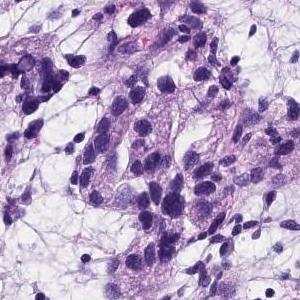
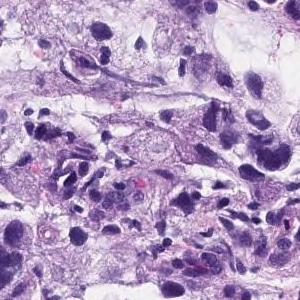
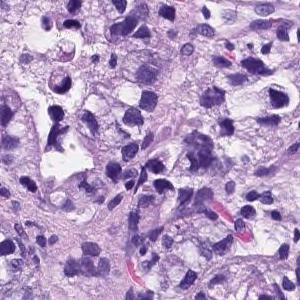
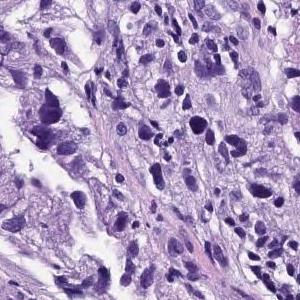
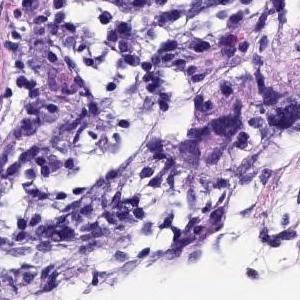
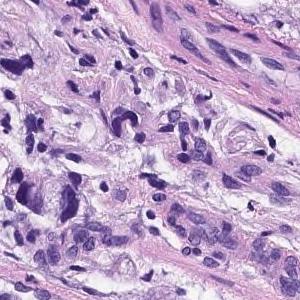
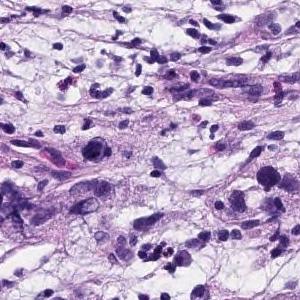
Scanned at ×20, H&E stain, 7 tiles cut from one stomach biopsy slide, each 300 × 300 pixels.
Pathology report for the biopsy slide these tiles were cut from. Both the report and the diagnosis are for the whole slide: these tiles need not show every feature named, and some of the tissue shown may not be tumor.
Medium to small, irregular glandular ducts are formed in the superficial epithelium, and in some cases, the glandular ducts are fused to show solid alveolar lesions and infiltrating tumor tissue is observed. Poorly differentiated adenocarcinoma, Moderately differentiated adenocarcinoma.
Dataset label: moderately differentiated tubular adenocarcinoma.
